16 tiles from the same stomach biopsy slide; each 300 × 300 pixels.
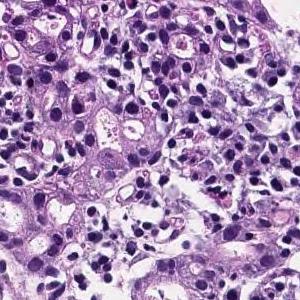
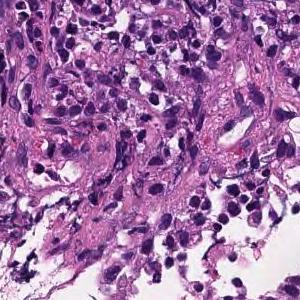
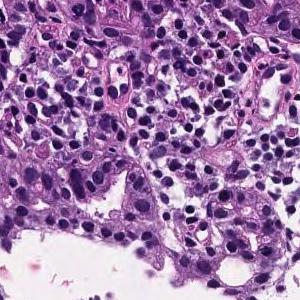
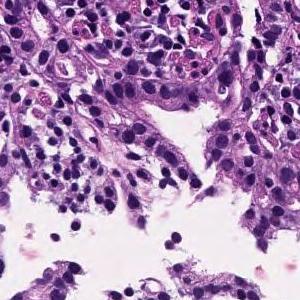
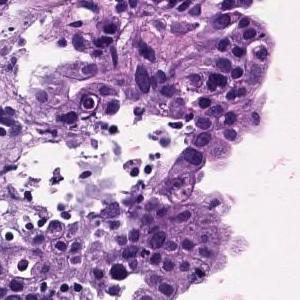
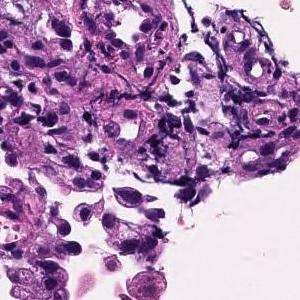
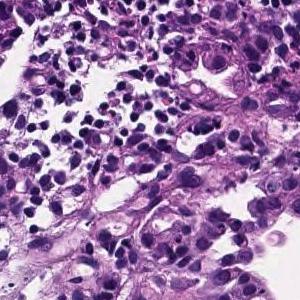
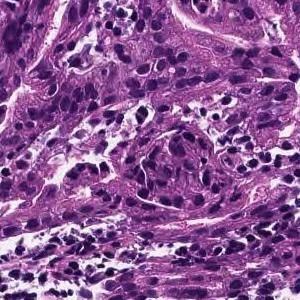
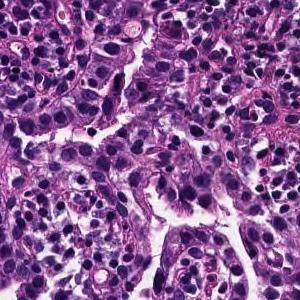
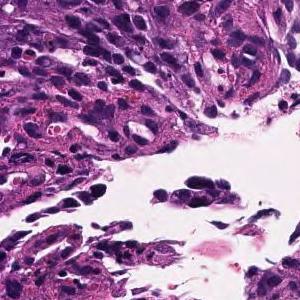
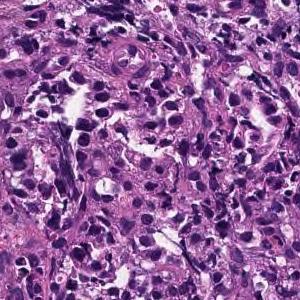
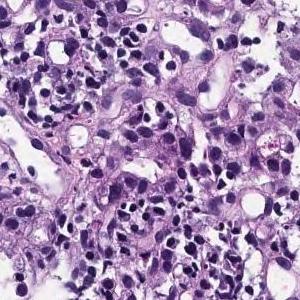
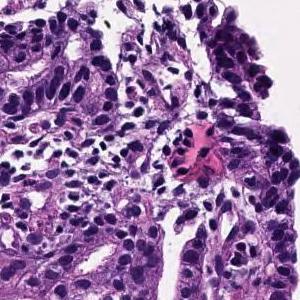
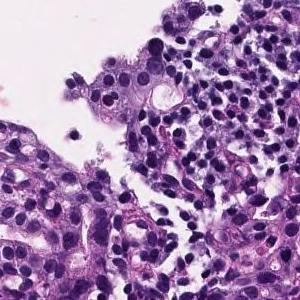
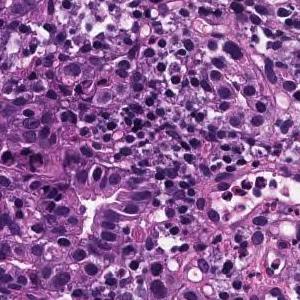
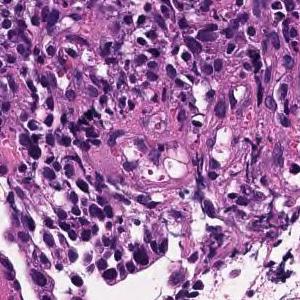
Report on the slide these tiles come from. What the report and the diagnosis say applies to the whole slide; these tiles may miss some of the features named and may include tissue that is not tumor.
Medium to small, irregular glandular ducts are formed in the superficial epithelium, and in some cases, the glandular ducts are fused to show solid alveolar lesions and infiltrating tumor tissue is observed. Moderately to poorly differentiated adenocarcinoma.
